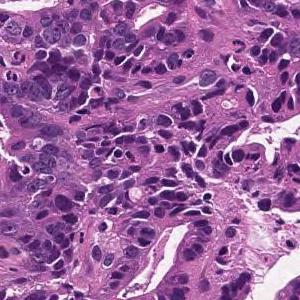
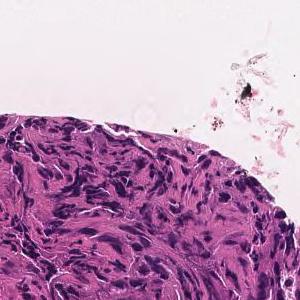
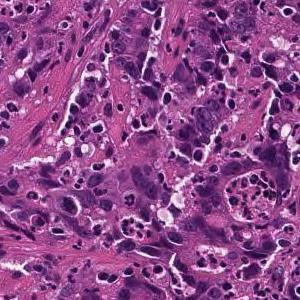
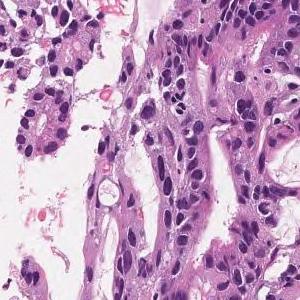
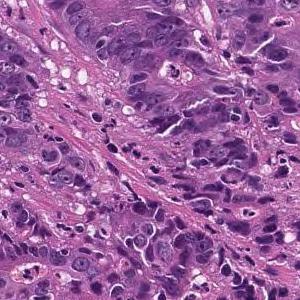
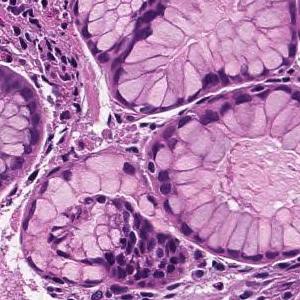
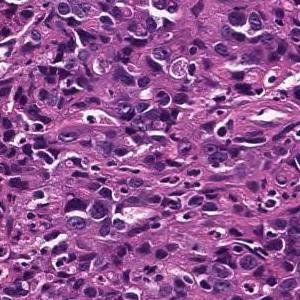
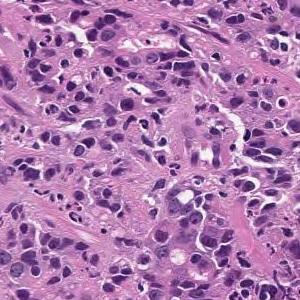
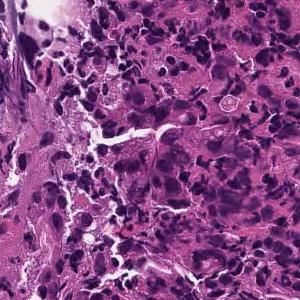
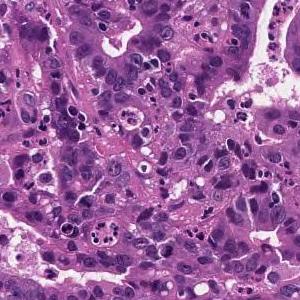
10 patches cut from one gastric biopsy slide; 300×300 px each; 20× magnification; H&E.
The pathologist's report on the biopsy slide these tiles were taken from. The report describes the whole slide, diagnosis included: not every finding it names need appear in these tiles, which may also show non-tumor tissue.
In the superficial epithelium, tumor tissue that invades by forming medium-sized to small, irregular ducts is observed. moderately differentiated tubular adenocarcinoma.
